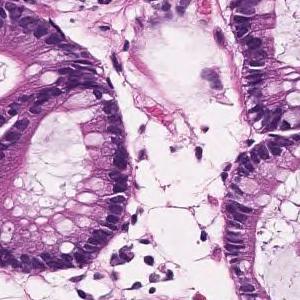
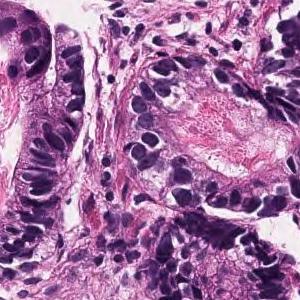
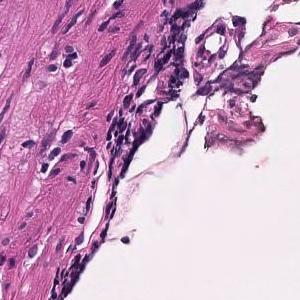
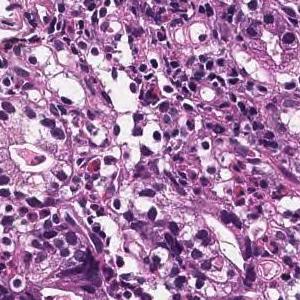
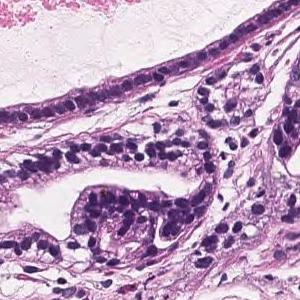
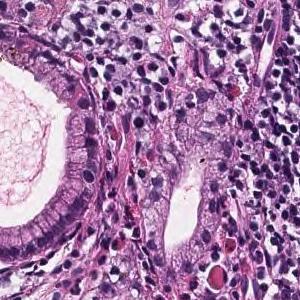
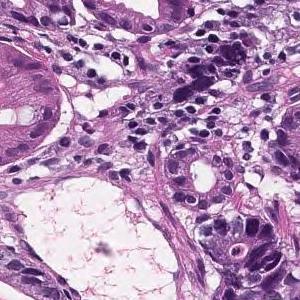
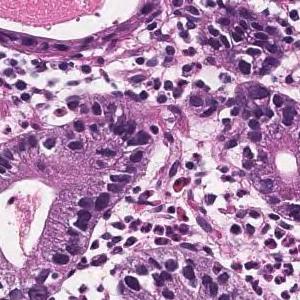
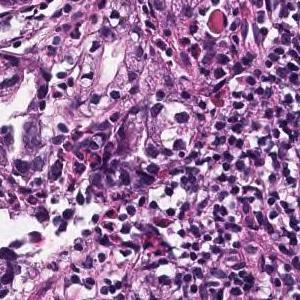
Hematoxylin and eosin stain; 9 patches cut from one gastric biopsy slide; 300 × 300 pixels each.
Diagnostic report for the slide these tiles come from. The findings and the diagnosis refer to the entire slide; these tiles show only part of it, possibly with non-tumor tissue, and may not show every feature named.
Tumor tissue consisting of medium-sized and irregular ducts is observed infiltrating in the superficial epithelium. Tumor cells are highly columnar, with nuclei aligned basolaterally and polarized. Well differentiated tubular adenocarcinoma.
